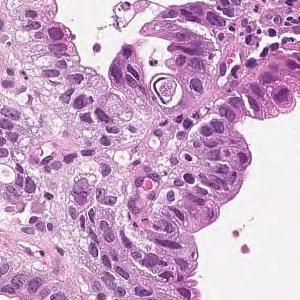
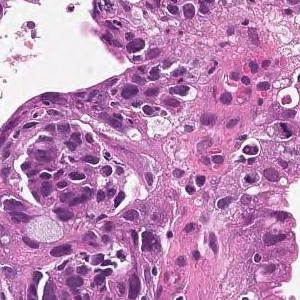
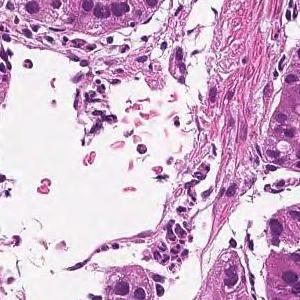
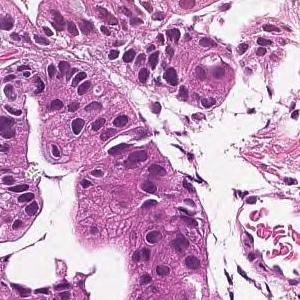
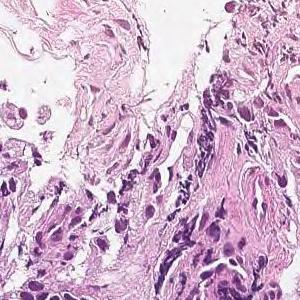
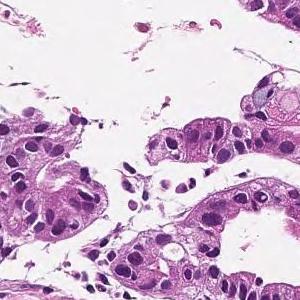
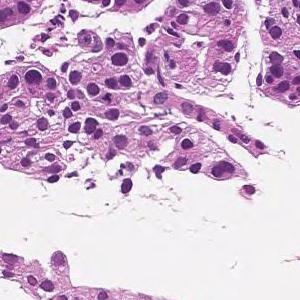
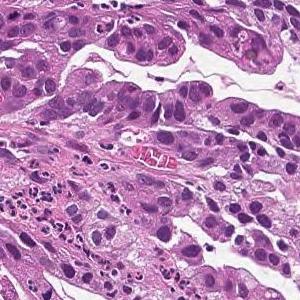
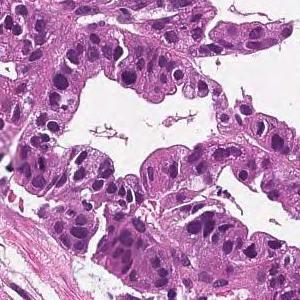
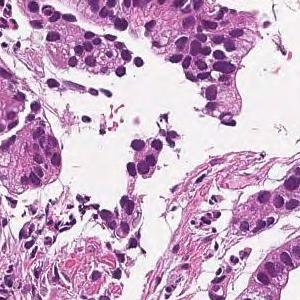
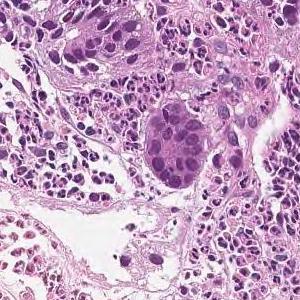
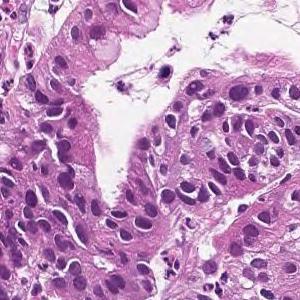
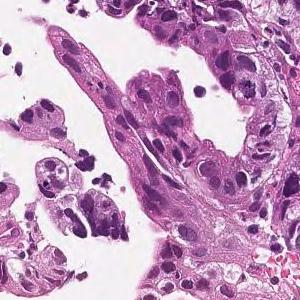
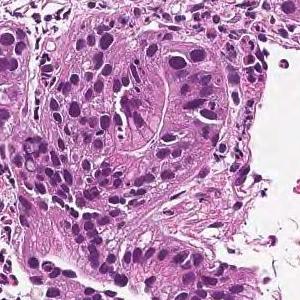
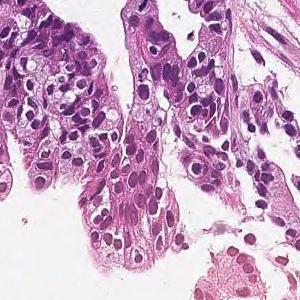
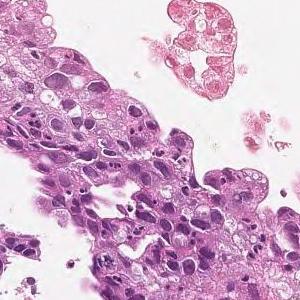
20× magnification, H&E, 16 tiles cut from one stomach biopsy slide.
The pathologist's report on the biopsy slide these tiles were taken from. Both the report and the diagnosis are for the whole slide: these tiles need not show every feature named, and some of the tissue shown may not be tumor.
On the superficial epithelium, tumor tissue that infiltrates by forming medium-sized papillary or small irregular ducts is observed. Papillary adenocarcinoma
